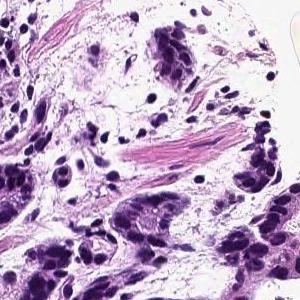
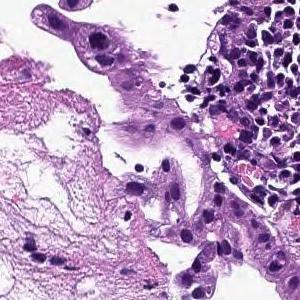
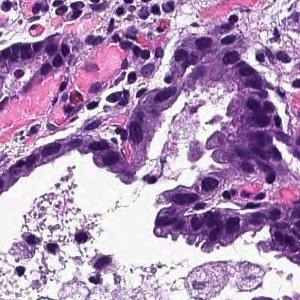
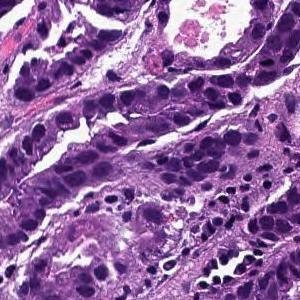
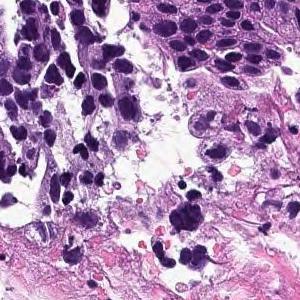
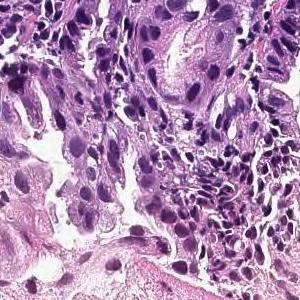
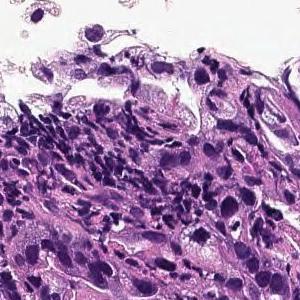
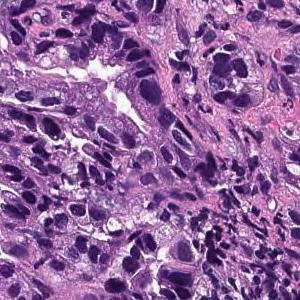
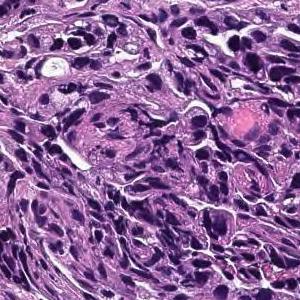
Hematoxylin and eosin stain; scanned at ×20; 9 tiles from the same stomach biopsy slide; 300×300 px each.
Report on the slide these tiles come from. The findings and the diagnosis refer to the entire slide; these tiles show only part of it, possibly with non-tumor tissue, and may not show every feature named.
Tumor cells are large, highly columnar, large club-shaped nuclei, and are associated with chromatin aggregation. Papillary adenocarcinoma.
